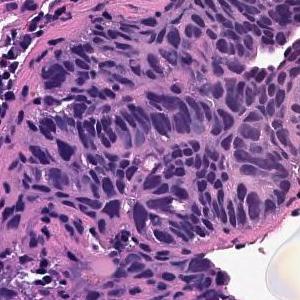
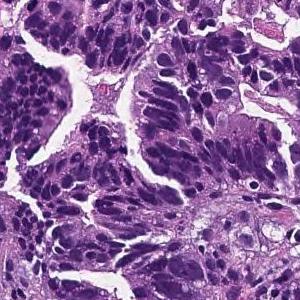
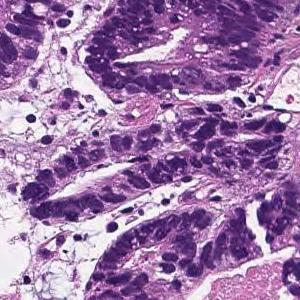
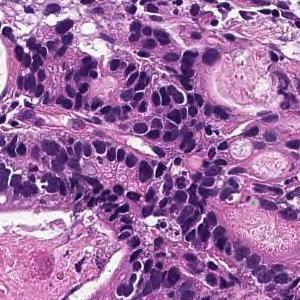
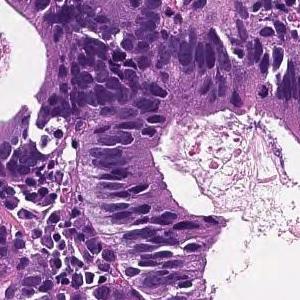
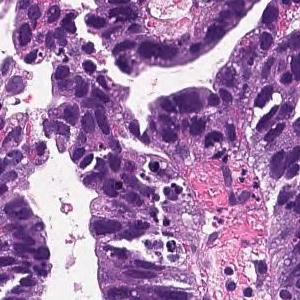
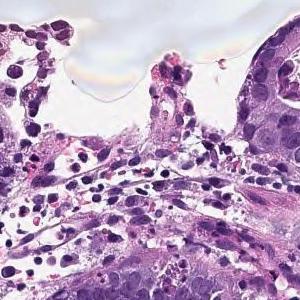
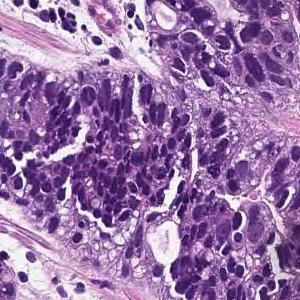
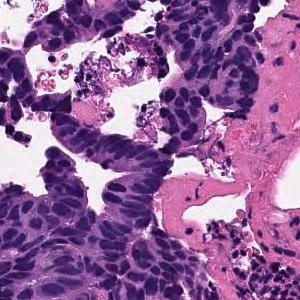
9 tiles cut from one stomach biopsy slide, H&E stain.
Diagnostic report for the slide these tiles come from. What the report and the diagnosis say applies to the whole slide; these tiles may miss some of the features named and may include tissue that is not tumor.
In the superficial epithelium, tumor tissue that invades by forming medium-sized to small, irregular ducts is observed. moderately differentiated tubular adenocarcinoma.
